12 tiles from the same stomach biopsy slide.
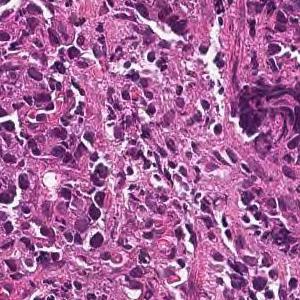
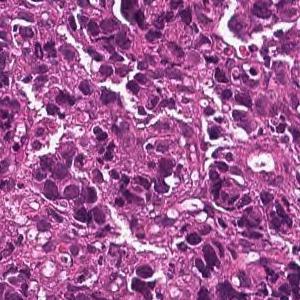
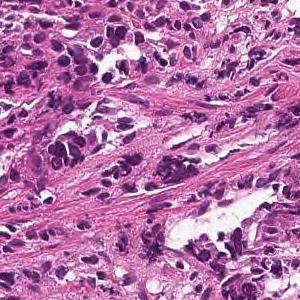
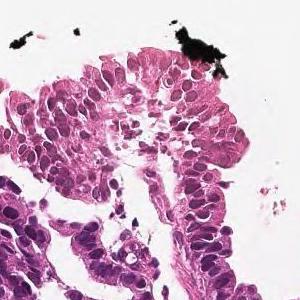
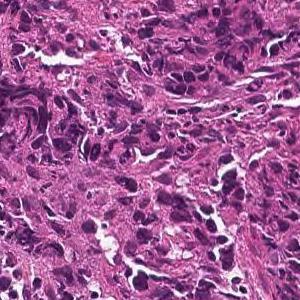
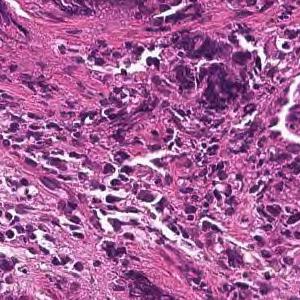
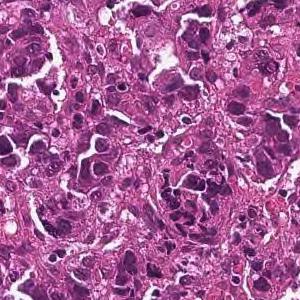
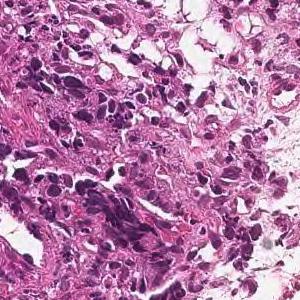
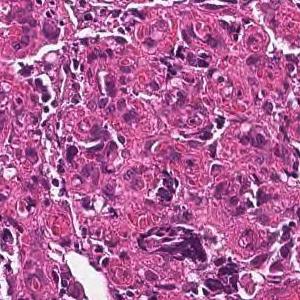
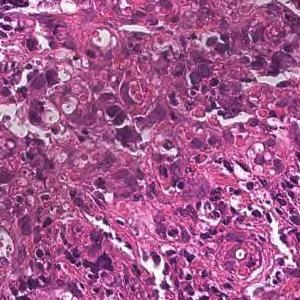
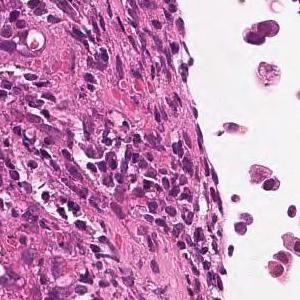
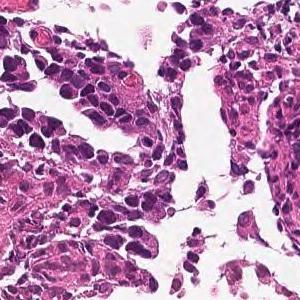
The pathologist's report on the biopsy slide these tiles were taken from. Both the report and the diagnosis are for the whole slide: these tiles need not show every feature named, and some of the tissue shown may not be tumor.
Tumor tissue consisting of medium-sized, cord-like or irregular glandular infiltration is observed in the superficial epithelium. Poorly differentiated adenocarcinoma, non-solid type or moderately differentiated tubular adenocarcinoma
Histological subtype: Moderately to poorly differentiated adenocarcinoma.
"Non-solid type" is a category of the Japanese Classification of Gastric Carcinoma.
